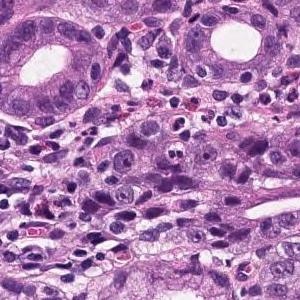
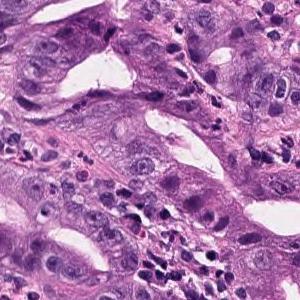
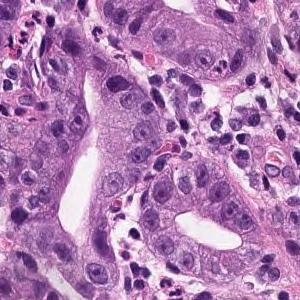
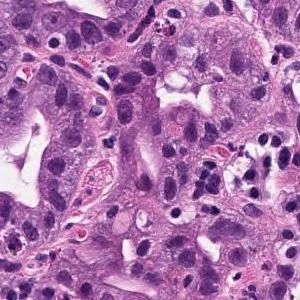
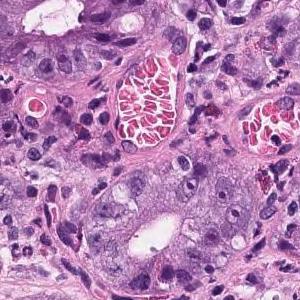
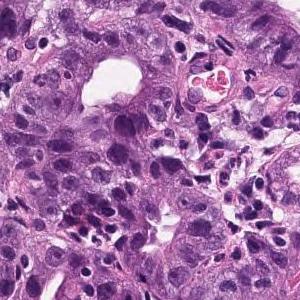
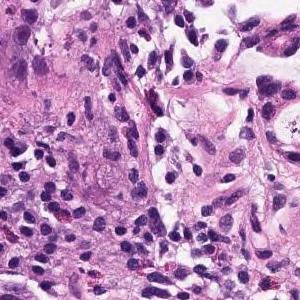
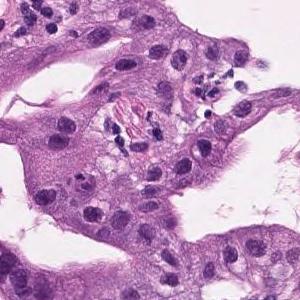
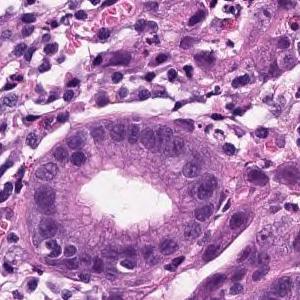
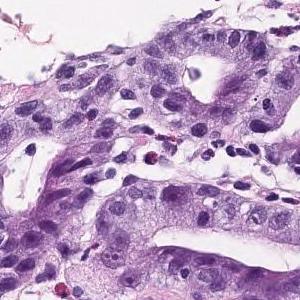
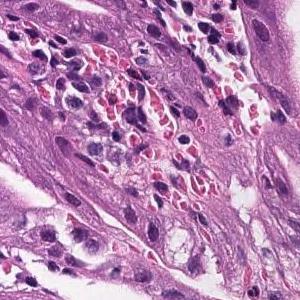
11 patches cut from one gastric biopsy slide.
The pathologist's report on the biopsy slide these tiles were taken from. The report and the diagnosis describe the slide as a whole, so these tiles may not show every feature named and may include non-tumor tissue.
In the superficial epithelium, tumor tissue that invades by forming medium-sized to small, irregular ducts is observed. Well to moderately differentiated adenocarcinoma (well differentiated tubular adenocarcinoma, moderately differentiated tubular adenocarcinoma).
Histological subtype: Well to moderately differentiated tubular adenocarcinoma.
